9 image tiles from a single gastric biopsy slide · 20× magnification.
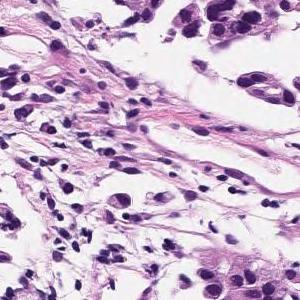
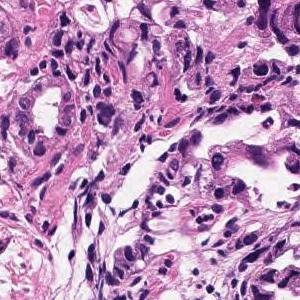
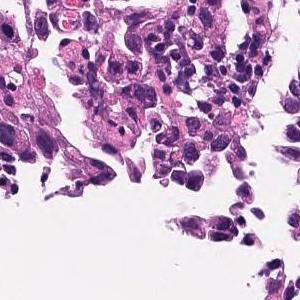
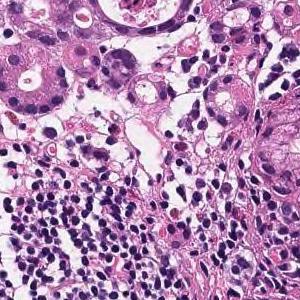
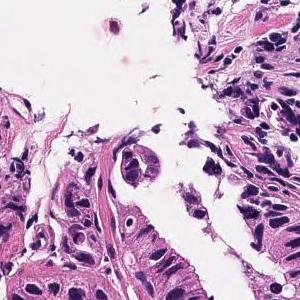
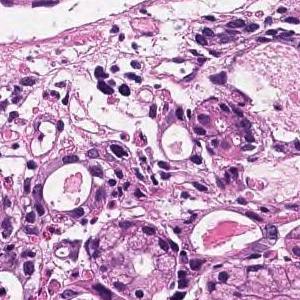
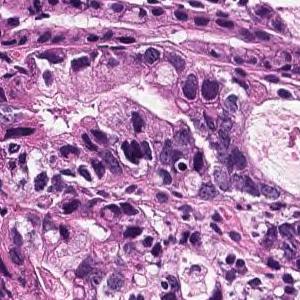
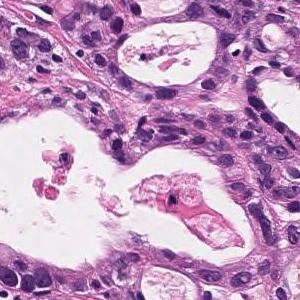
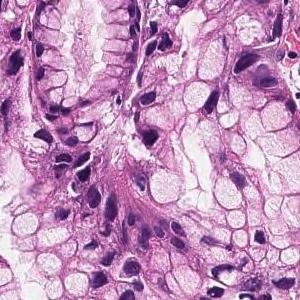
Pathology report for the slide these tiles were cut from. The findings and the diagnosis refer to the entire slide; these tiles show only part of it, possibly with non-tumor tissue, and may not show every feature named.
In the superficial epithelium, tumor tissue that invades by forming medium-sized to small, irregular ducts is observed. Moderately differentiated adenocarcinoma.
Classified as moderately differentiated tubular adenocarcinoma.
